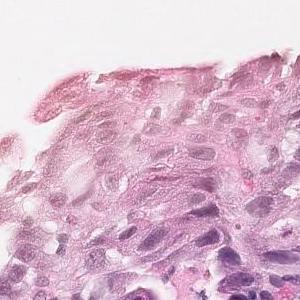
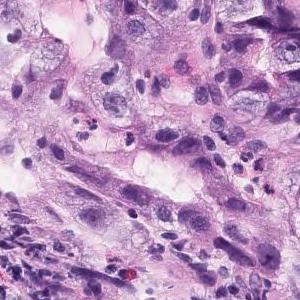
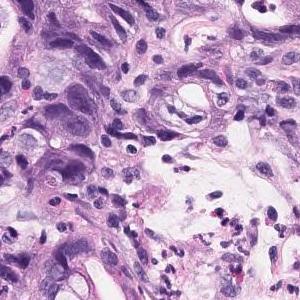
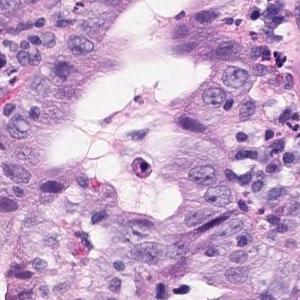
4 tiles cut from one stomach biopsy slide · 300×300 px each · H&E stain · scanned at ×20.
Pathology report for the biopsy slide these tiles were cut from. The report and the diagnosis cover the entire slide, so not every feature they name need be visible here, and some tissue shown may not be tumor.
In the superficial epithelium, tumor tissue that invades by forming medium-sized to small irregular glandular ducts is observed. Moderately differentiated adenocarcinoma.
Histological subtype: Moderately differentiated tubular adenocarcinoma.
